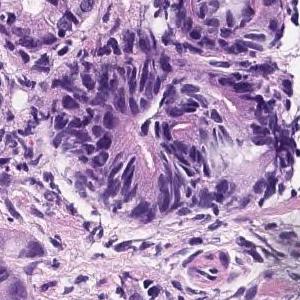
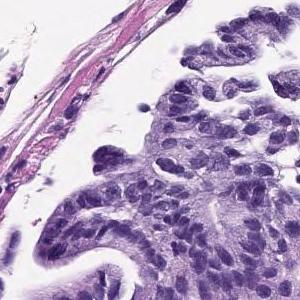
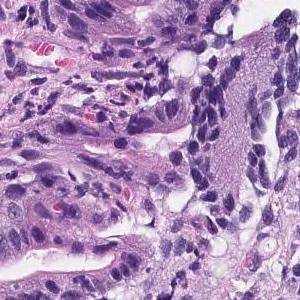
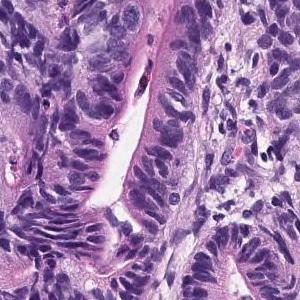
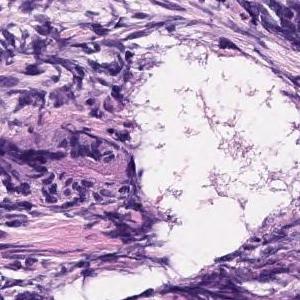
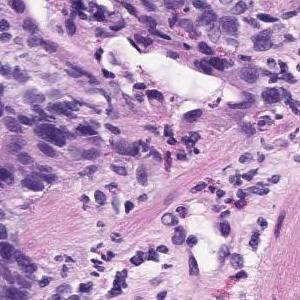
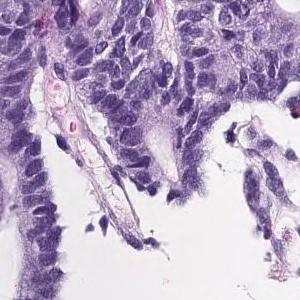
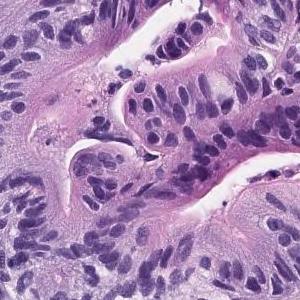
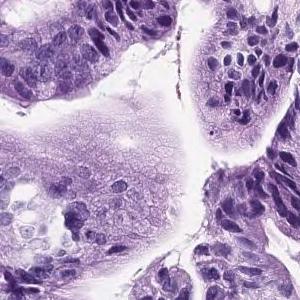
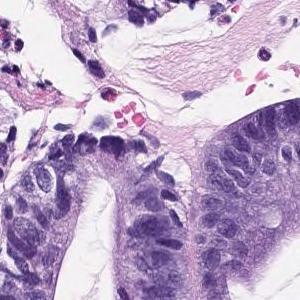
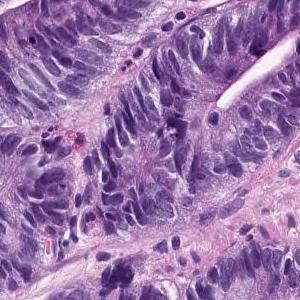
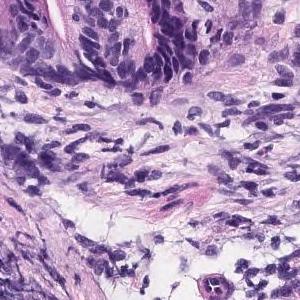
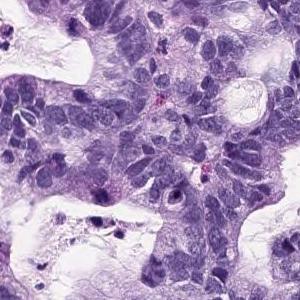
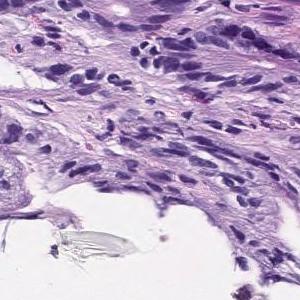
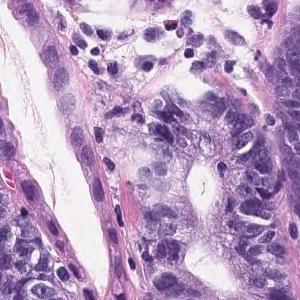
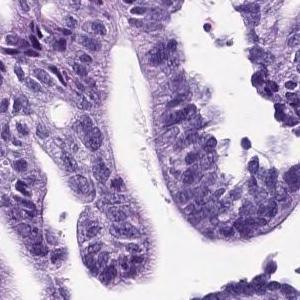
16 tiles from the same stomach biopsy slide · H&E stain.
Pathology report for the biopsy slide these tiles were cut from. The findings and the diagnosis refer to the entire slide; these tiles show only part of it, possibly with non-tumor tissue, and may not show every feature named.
On the superficial epithelium, tumor tissue consisting of medium-sized to large-sized, round or irregular glandular duct growth images is observed. Well differentiated adenocarcinoma.
Subtype: Well differentiated tubular adenocarcinoma.
